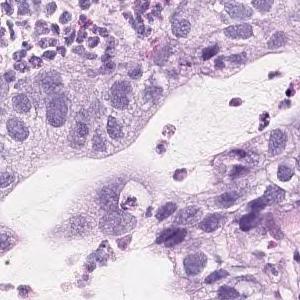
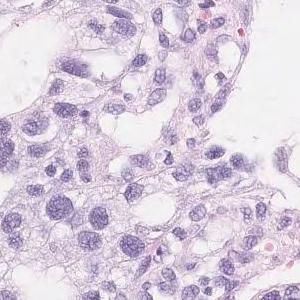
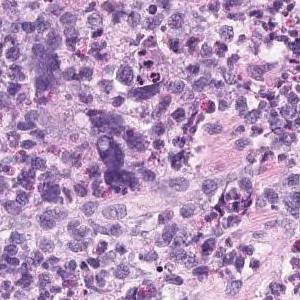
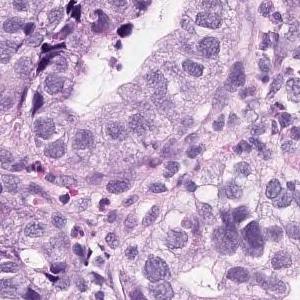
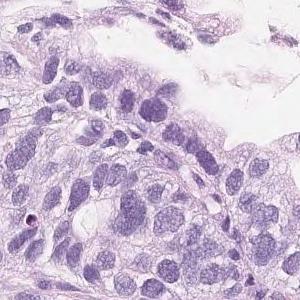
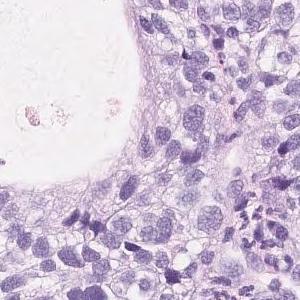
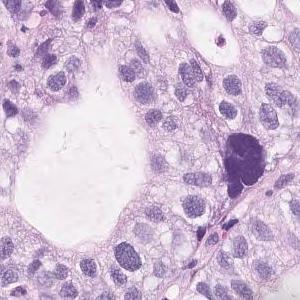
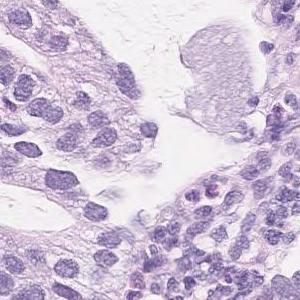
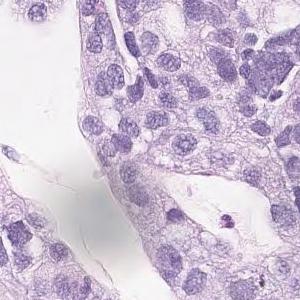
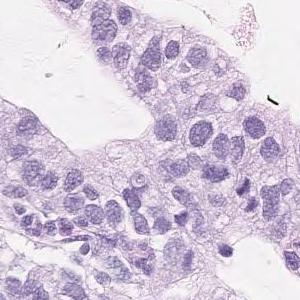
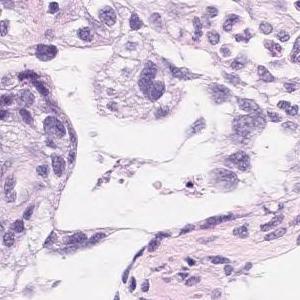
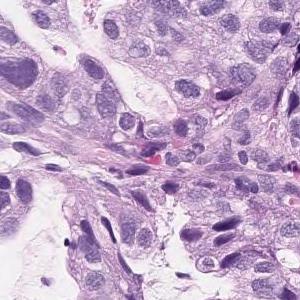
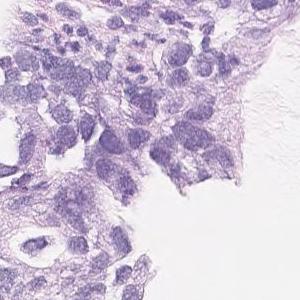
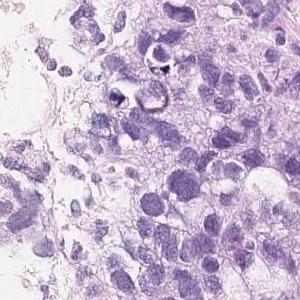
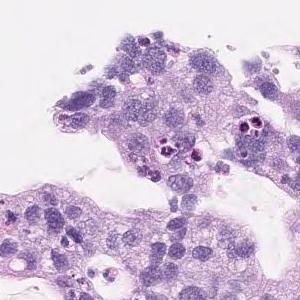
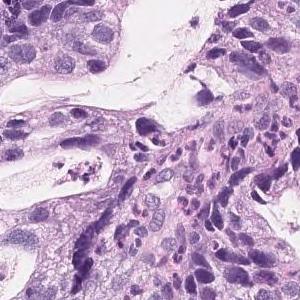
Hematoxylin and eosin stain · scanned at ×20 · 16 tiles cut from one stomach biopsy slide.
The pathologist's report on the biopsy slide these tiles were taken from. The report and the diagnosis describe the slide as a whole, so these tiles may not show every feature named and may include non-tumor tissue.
On the superficial epithelium, tumor tissue consisting of large, irregular glandular ducts partially fused and infiltrated is observed. Well to moderately differentiated tubular adenocarcinoma (well differentiated tubular adenocarcinoma, moderately differentiated tubular adenocarcinoma)
Histological subtype: Well to moderately differentiated tubular adenocarcinoma.
